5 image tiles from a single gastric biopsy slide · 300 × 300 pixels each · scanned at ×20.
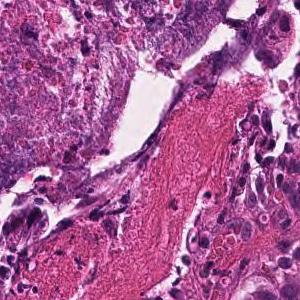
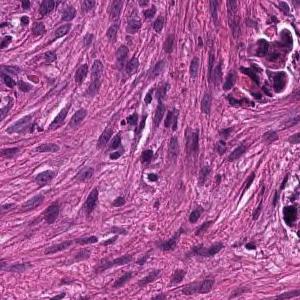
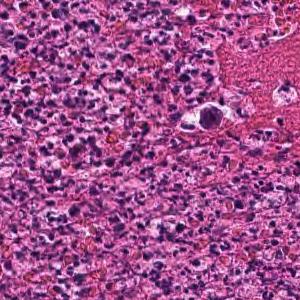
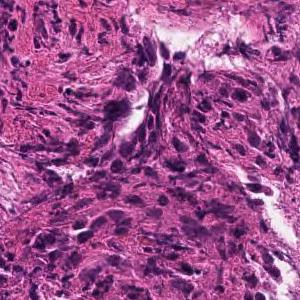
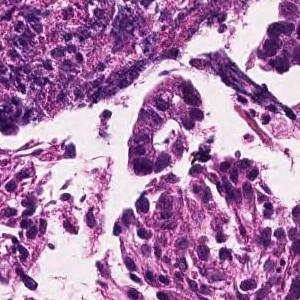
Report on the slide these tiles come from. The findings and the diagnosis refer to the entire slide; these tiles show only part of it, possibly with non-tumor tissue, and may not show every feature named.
In the superficial epithelium, tumor tissue that invades by forming medium-sized to small, irregular ducts is observed. moderately differentiated tubular adenocarcinoma.
